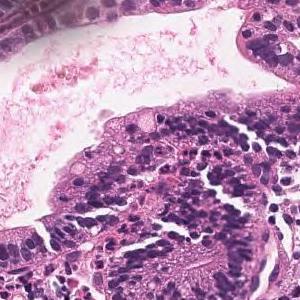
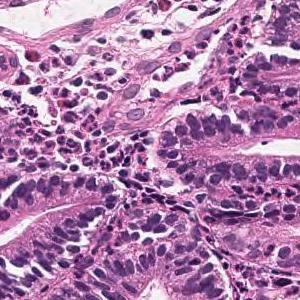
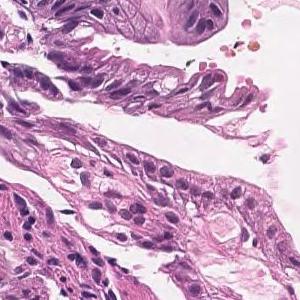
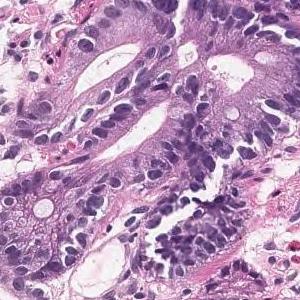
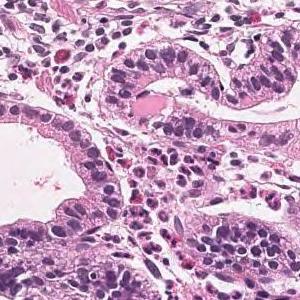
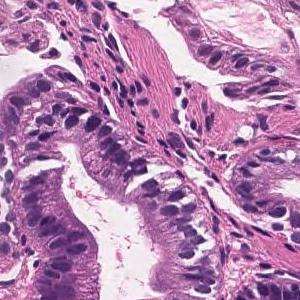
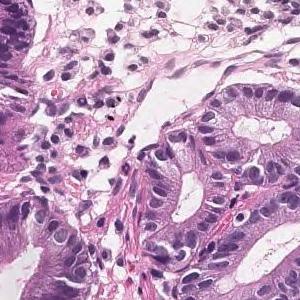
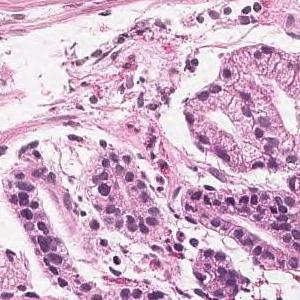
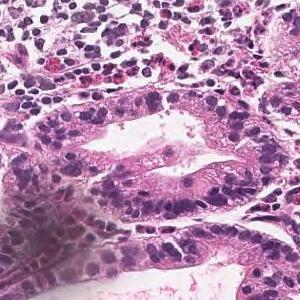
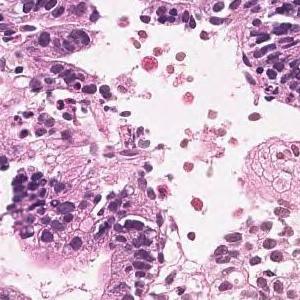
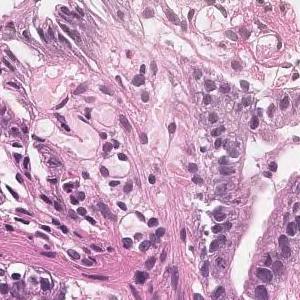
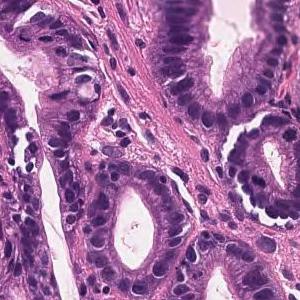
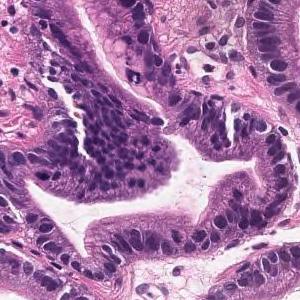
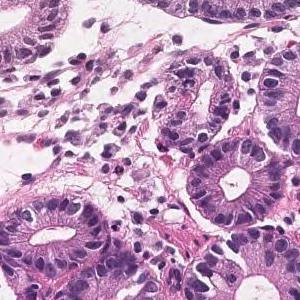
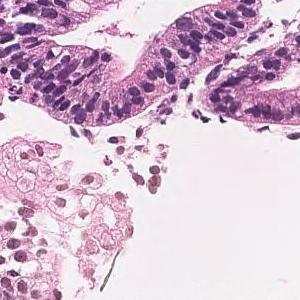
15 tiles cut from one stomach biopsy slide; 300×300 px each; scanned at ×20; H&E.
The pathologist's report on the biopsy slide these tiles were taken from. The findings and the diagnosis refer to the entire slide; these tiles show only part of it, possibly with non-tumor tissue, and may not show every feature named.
Tumor tissue in which medium to small irregular ducts infiltrate and proliferate in the submucosa can be seen in the epithelium. Well differentiated tubular adenocarcinoma
